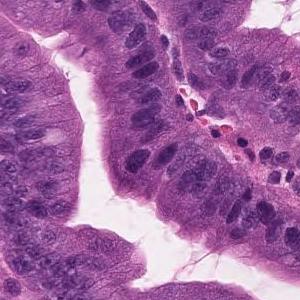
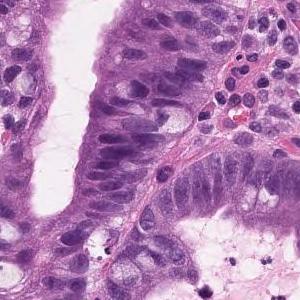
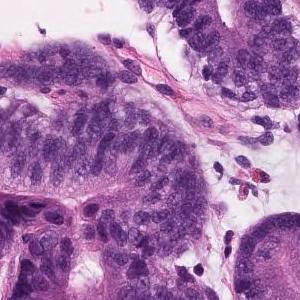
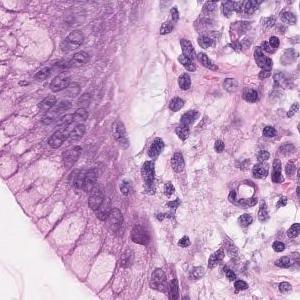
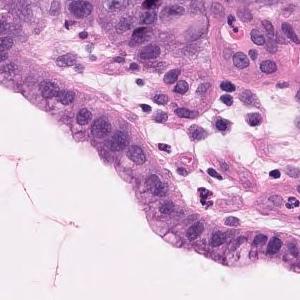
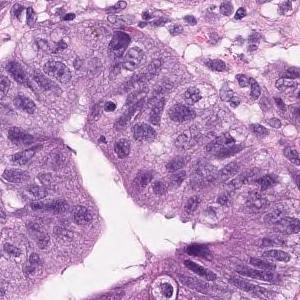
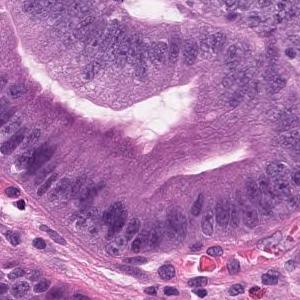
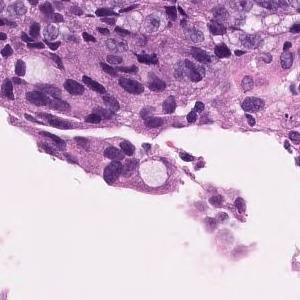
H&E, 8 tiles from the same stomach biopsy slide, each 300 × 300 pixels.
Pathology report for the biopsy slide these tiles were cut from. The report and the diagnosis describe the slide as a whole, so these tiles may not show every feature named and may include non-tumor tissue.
On the superficial epithelium, tumor tissue consisting of large, irregular glandular ducts partially fused and infiltrated is observed. Well to moderately differentiated tubular adenocarcinoma (well differentiated tubular adenocarcinoma, moderately differentiated tubular adenocarcinoma)
Classified as well to moderately differentiated tubular adenocarcinoma.
